H&E · ×20 · 15 patches cut from one gastric biopsy slide · each 300 × 300 pixels.
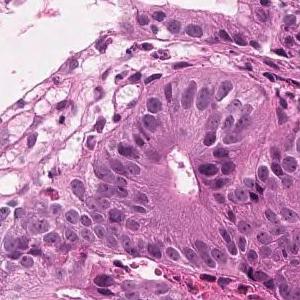
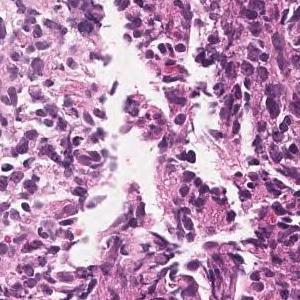
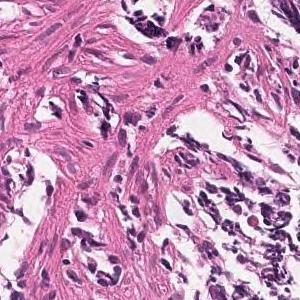
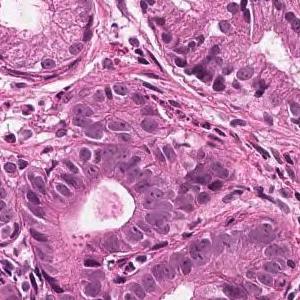
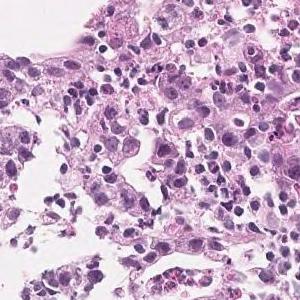
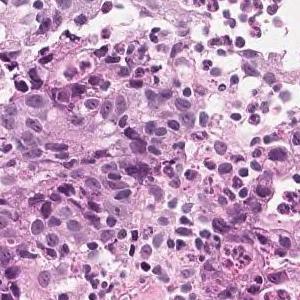
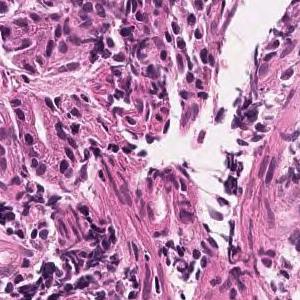
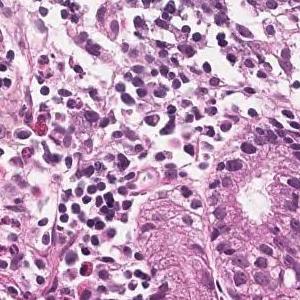
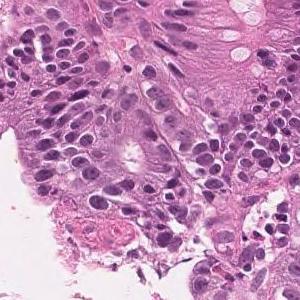
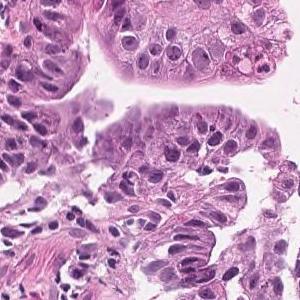
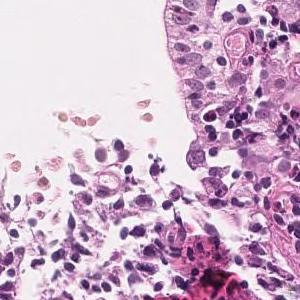
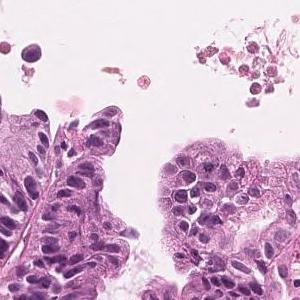
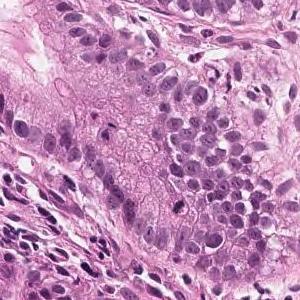
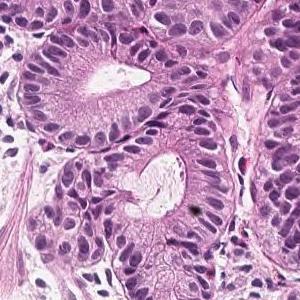
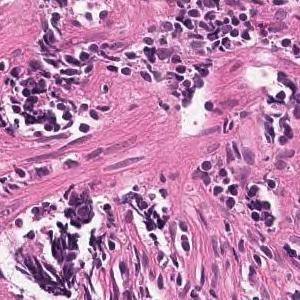
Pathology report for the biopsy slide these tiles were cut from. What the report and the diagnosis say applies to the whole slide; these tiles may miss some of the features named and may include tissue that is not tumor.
On the superficial epithelium, tumor tissue consisting of large, irregular glandular ducts partially fused and infiltrated is observed. Well to moderately differentiated tubular adenocarcinoma (well differentiated tubular adenocarcinoma, moderately differentiated tubular adenocarcinoma)
Histological subtype: Well to moderately differentiated tubular adenocarcinoma.
